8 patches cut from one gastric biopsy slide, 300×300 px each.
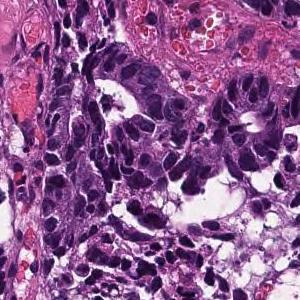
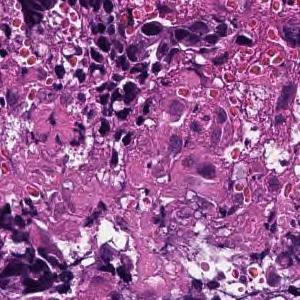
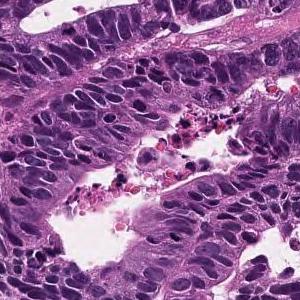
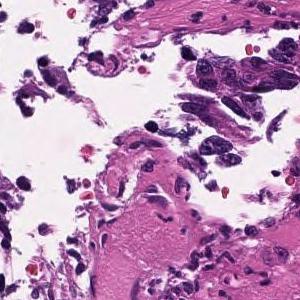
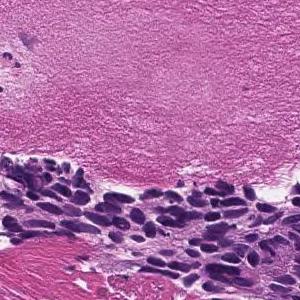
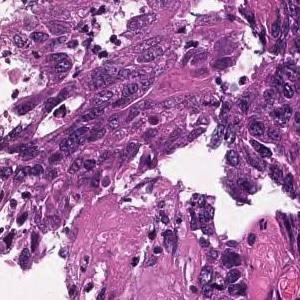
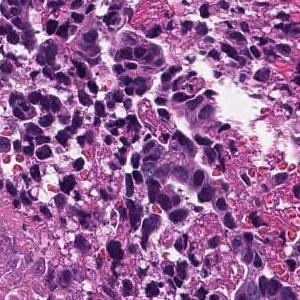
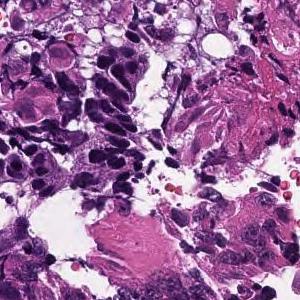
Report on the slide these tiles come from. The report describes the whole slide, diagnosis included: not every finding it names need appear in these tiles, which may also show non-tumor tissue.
Tumor tissue consisting of large, irregular glandular ducts, centered on the submucosa, infiltrated by fusion with each other is observed. Well to moderately differentiated tubular adenocarcinoma (well differentiated tubular adenocarcinoma-moderately differentiated tubular adenocarcinoma)
Subtype: Well to moderately differentiated tubular adenocarcinoma.
